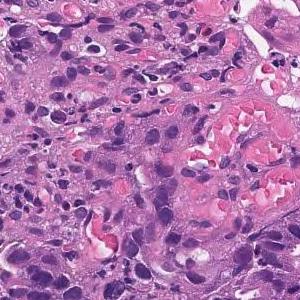
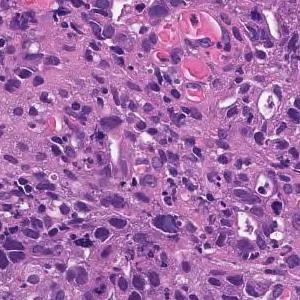
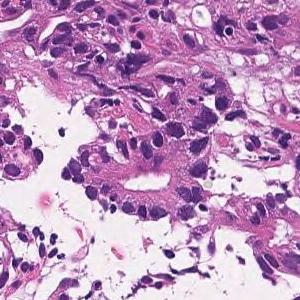
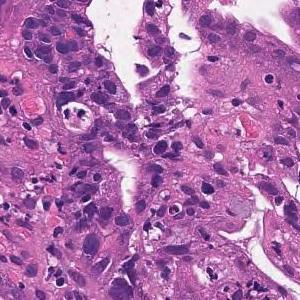
4 tiles from the same stomach biopsy slide; 300×300 px each; ×20.
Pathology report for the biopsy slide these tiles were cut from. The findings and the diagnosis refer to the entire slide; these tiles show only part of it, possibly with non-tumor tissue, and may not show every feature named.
In the superficial epithelium, tumor tissue that invades by forming medium-sized to small, irregular ducts is observed. moderately differentiated tubular adenocarcinoma.
